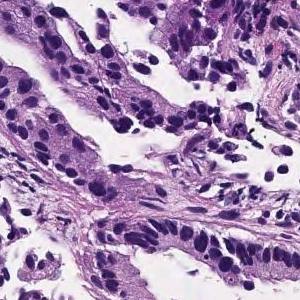
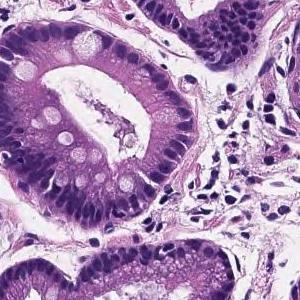
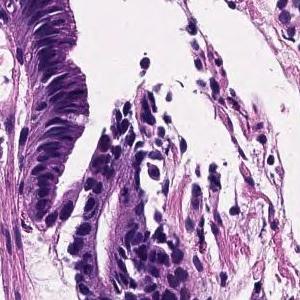
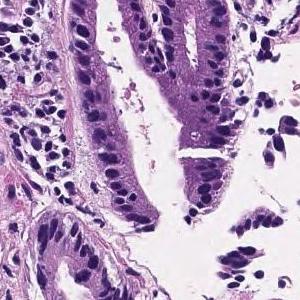
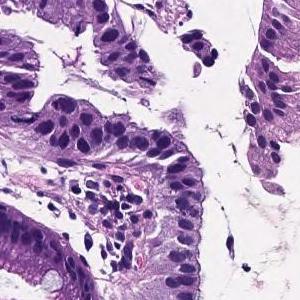
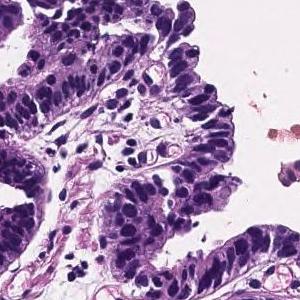
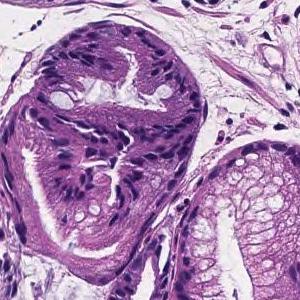
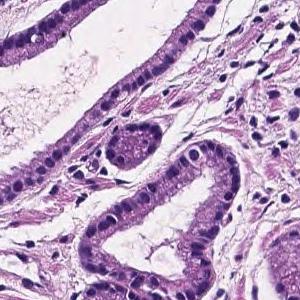
Scanned at ×20, hematoxylin and eosin stain, 8 image tiles from a single gastric biopsy slide.
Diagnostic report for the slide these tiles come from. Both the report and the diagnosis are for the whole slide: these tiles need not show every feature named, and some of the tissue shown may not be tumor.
Tumor cells are large, highly columnar, large club-shaped nuclei, and are associated with chromatin aggregation. Papillary adenocarcinoma.
